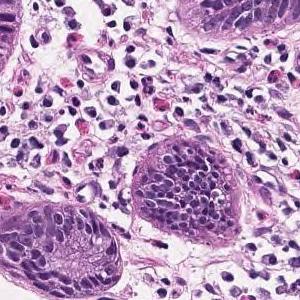
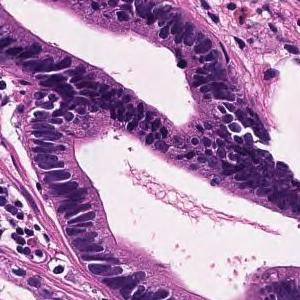
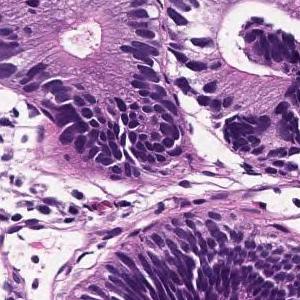
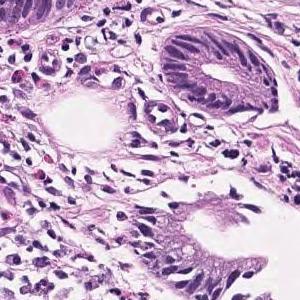
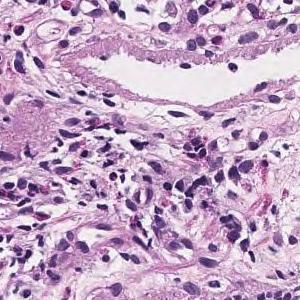
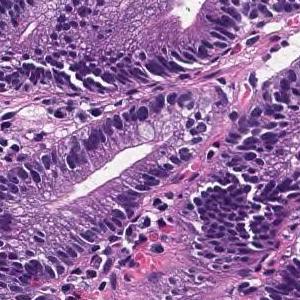
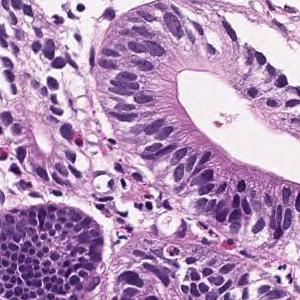
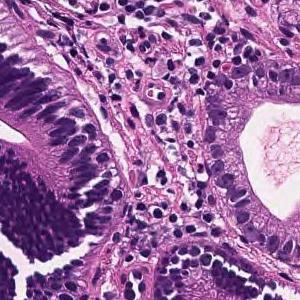
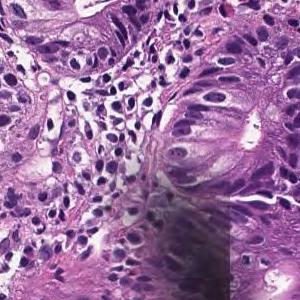
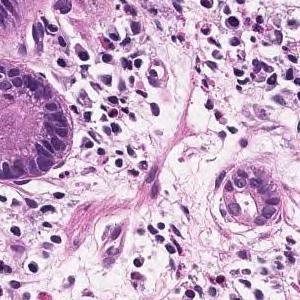
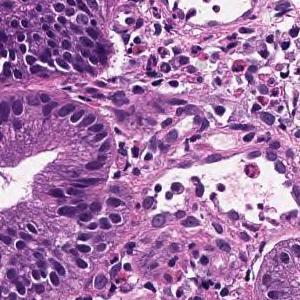
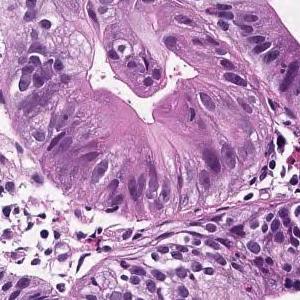
20× magnification, H&E, 12 image tiles from a single gastric biopsy slide, 300×300 px each.
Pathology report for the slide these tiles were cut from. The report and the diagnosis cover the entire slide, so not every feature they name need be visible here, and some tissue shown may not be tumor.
In the superficial epithelium, tumor tissue that invades by forming medium-sized to small, irregular ducts is observed. Well differentiated tubular adenocarcinoma.
